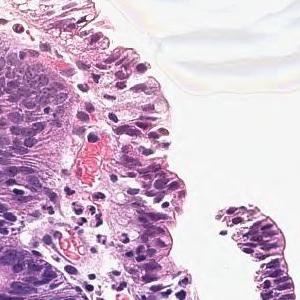
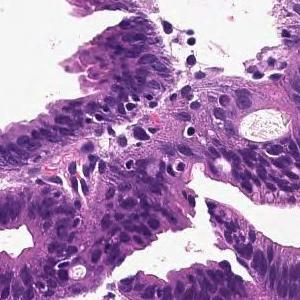
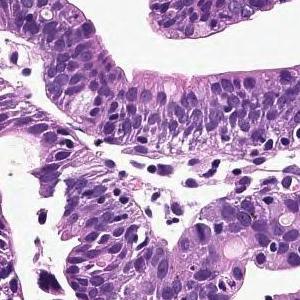
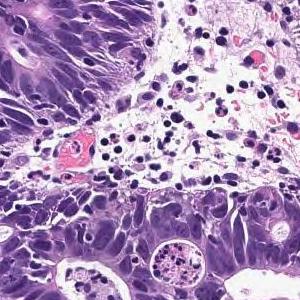
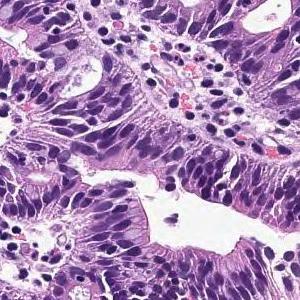
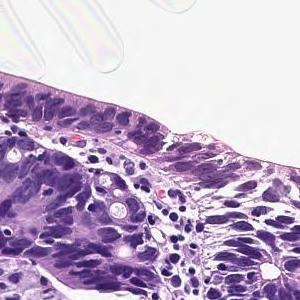
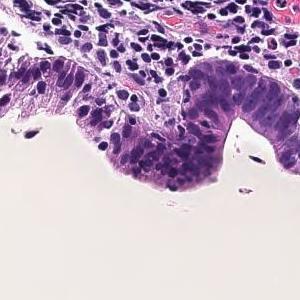
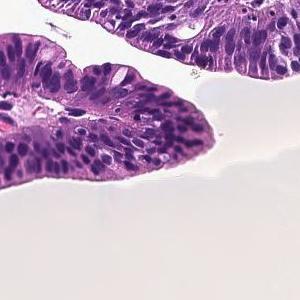
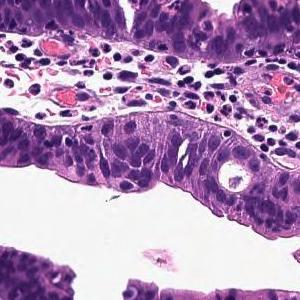
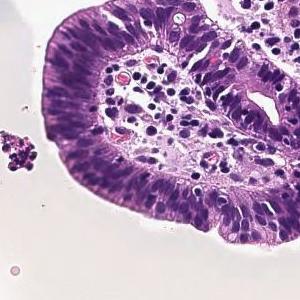
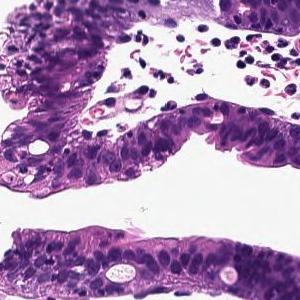
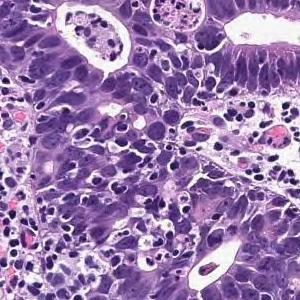
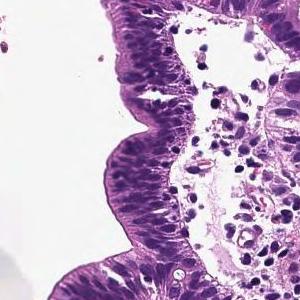
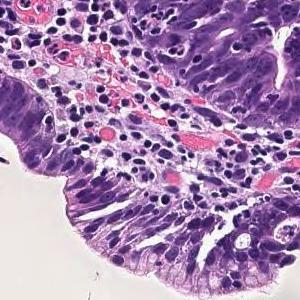
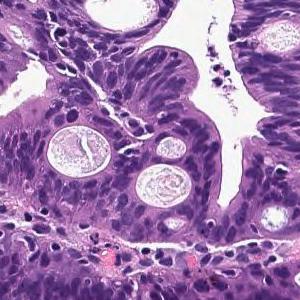
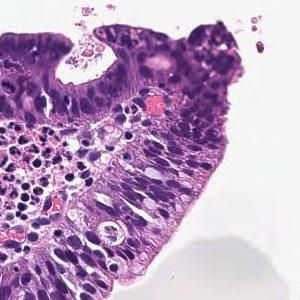
20× magnification; H&E stain; 16 tiles cut from one stomach biopsy slide; 300×300 px each.
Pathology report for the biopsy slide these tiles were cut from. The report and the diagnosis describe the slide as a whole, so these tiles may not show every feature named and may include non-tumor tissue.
Infiltrating tumor tissue is observed in the superficial epithelium, showing large papillary structures or large and small ducts. Papillary adenocarcinoma
